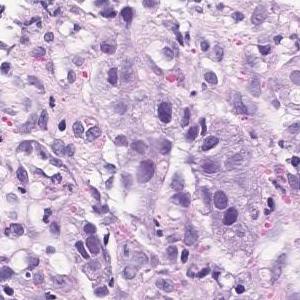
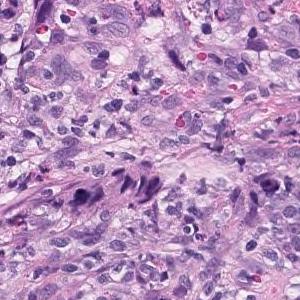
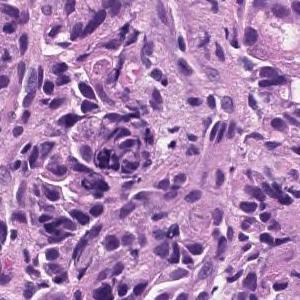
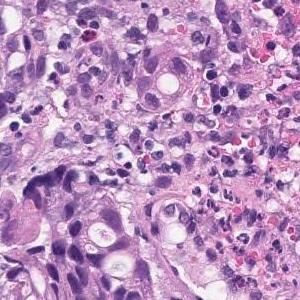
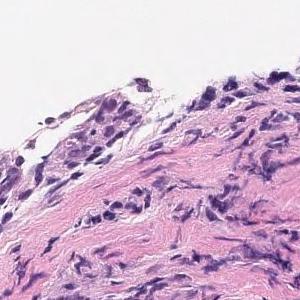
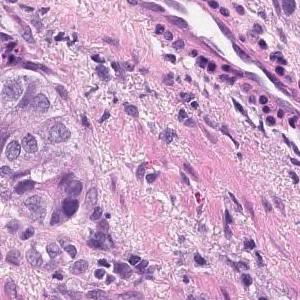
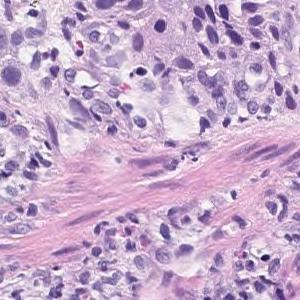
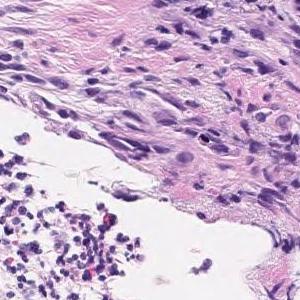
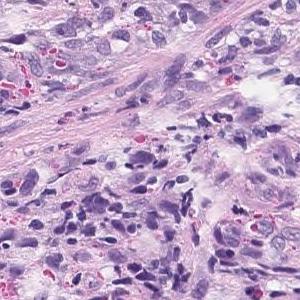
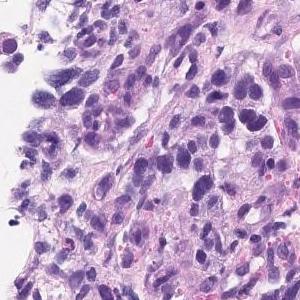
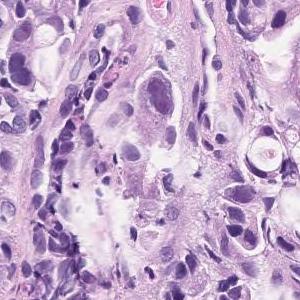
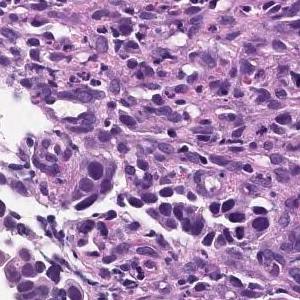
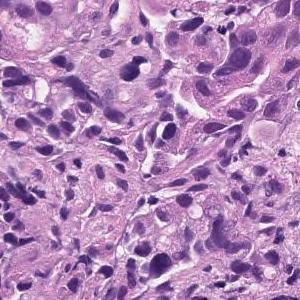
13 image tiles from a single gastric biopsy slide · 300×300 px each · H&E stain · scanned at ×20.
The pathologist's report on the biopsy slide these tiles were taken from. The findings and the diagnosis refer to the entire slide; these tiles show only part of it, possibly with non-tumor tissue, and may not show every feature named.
Group 5, Moderately differentiated adenocarcinoma
Classified as moderately differentiated tubular adenocarcinoma.
